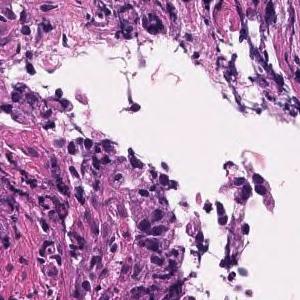
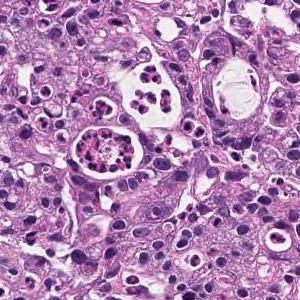
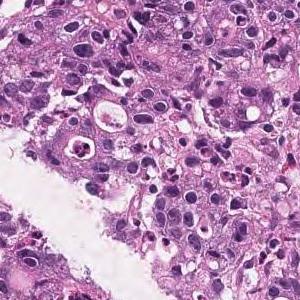
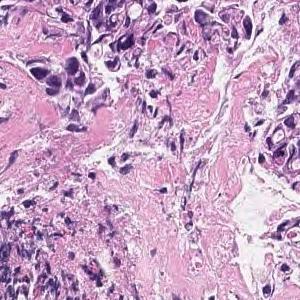
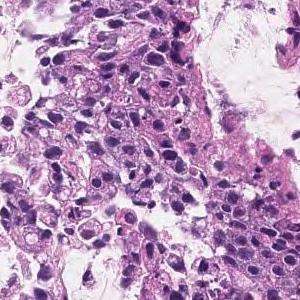
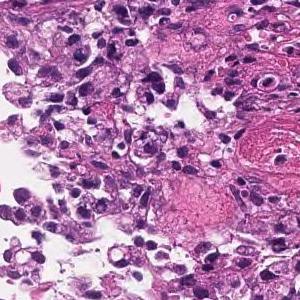
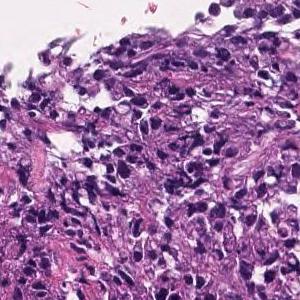
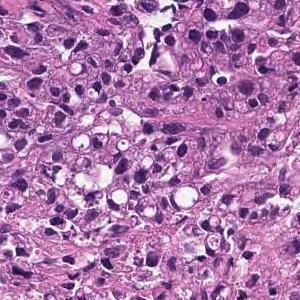
×20 · 8 tiles cut from one stomach biopsy slide · 300 × 300 pixels each.
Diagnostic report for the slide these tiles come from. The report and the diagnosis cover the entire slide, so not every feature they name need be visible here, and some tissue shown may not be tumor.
Medium to small, irregular glandular ducts are formed in the superficial epithelium, and in some cases, the glandular ducts are fused to show solid alveolar lesions and infiltrating tumor tissue is observed. Moderately to poorly differentiated adenocarcinoma.
